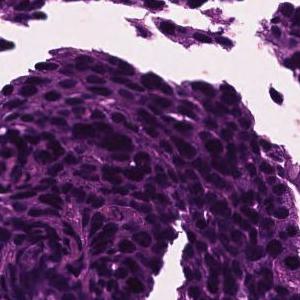
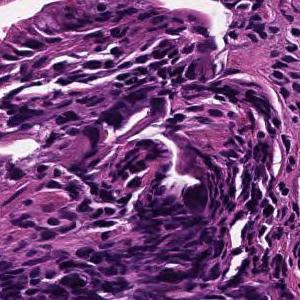
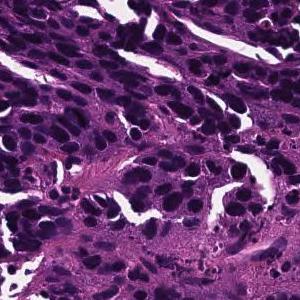
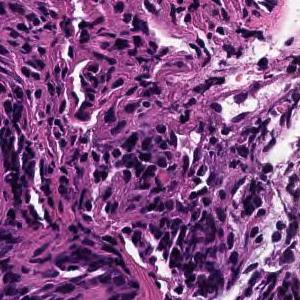
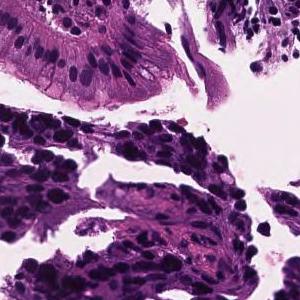
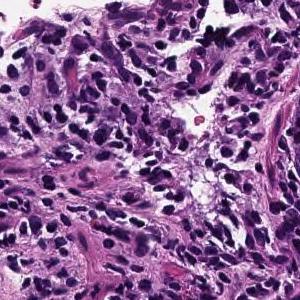
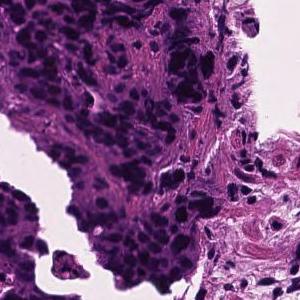
H&E stain, 7 image tiles from a single gastric biopsy slide, each 300 × 300 pixels.
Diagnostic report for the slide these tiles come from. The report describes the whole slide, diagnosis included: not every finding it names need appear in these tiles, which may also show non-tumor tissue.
In the superficial epithelium, medium to small irregular gland ducts are formed, and in some cases, the ducts are fused to show solid alveolar lesions and infiltrating tumor tissue is observed. moderately differentiated tubular adenocarcinoma or poorly differentiated adenocarcinoma, solid-type (poorly differentiated adenocarcinoma, solid type)
The dataset labels this slide poorly differentiated adenocarcinoma, solid type, a category of the Japanese Classification of Gastric Carcinoma; in the WHO 2019 classification it is tubular adenocarcinoma, poorly differentiated.
